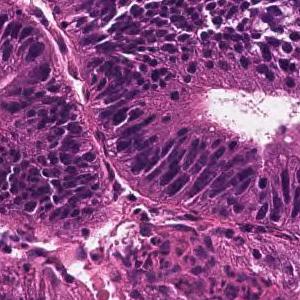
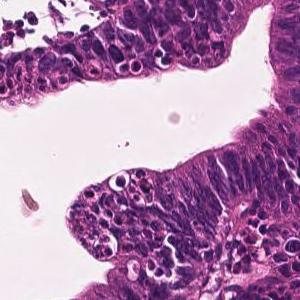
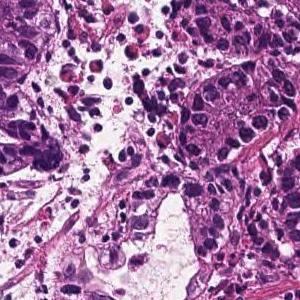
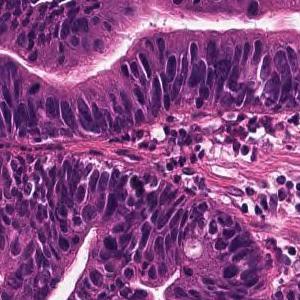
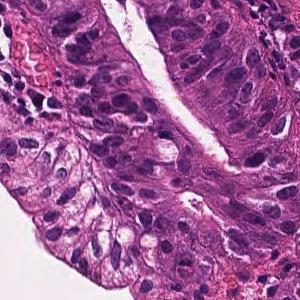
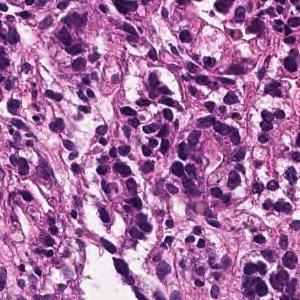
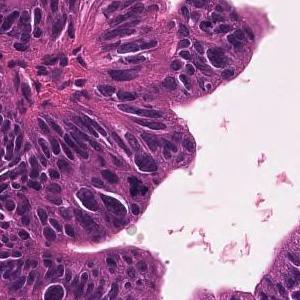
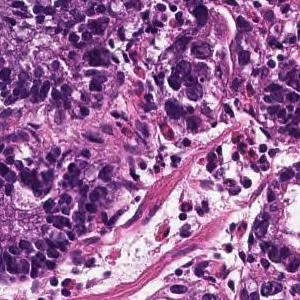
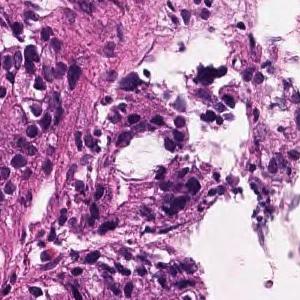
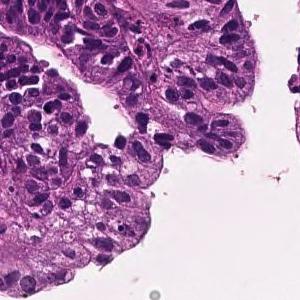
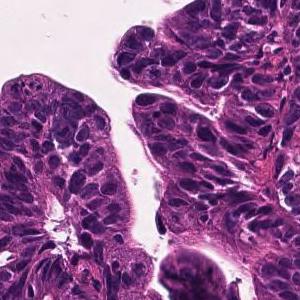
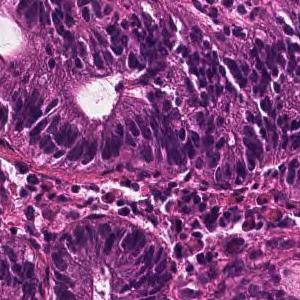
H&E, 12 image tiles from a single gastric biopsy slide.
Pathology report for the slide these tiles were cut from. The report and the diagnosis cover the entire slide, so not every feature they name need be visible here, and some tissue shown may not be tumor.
A large irregular tubular structure is exhibited in the epithelium, and tumor tissue that partially fuses and infiltrates and proliferates is observed. Large columnar tumor cells exhibit enlarged nucleus, hyperchromatism, and mitotic figures. Well differentiated tubular adenocarcinoma
